16 tiles cut from one stomach biopsy slide; scanned at ×20; H&E.
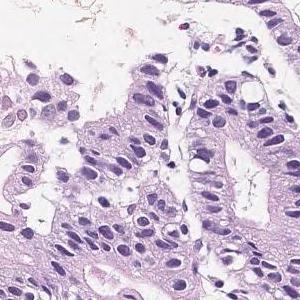
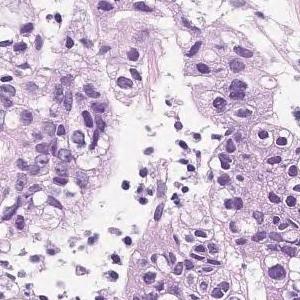
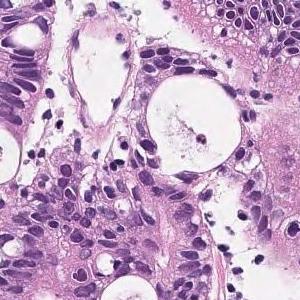
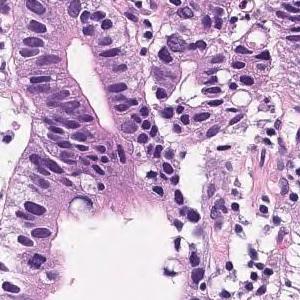
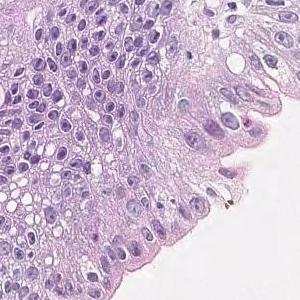
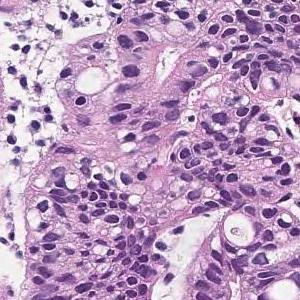
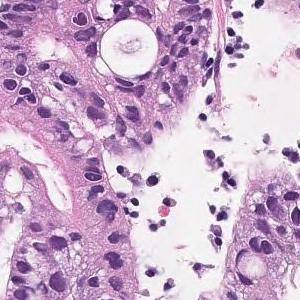
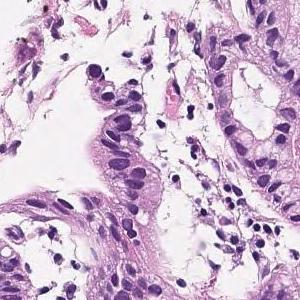
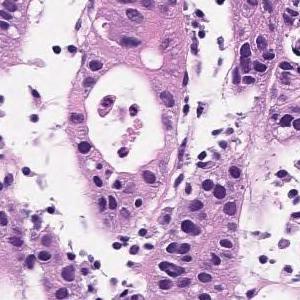
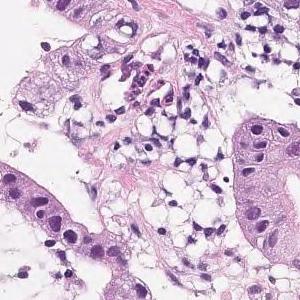
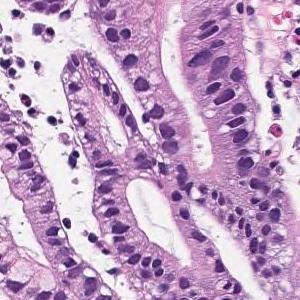
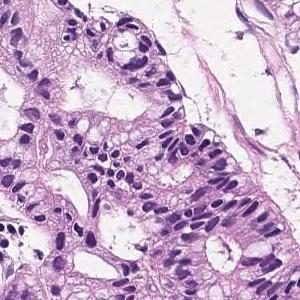
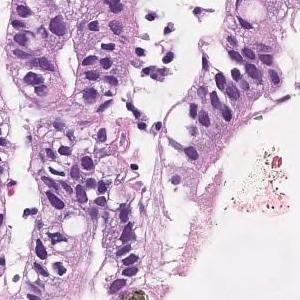
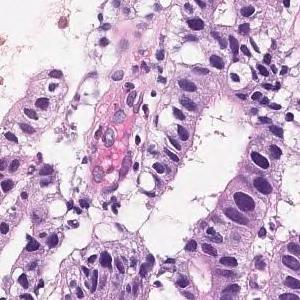
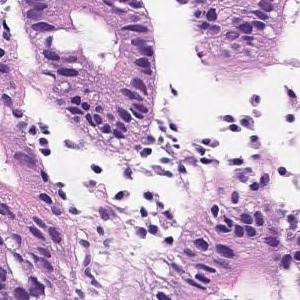
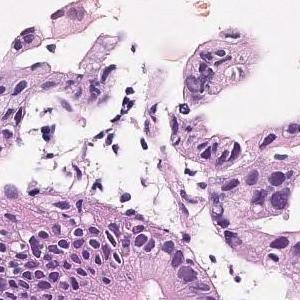
Pathology report for the slide these tiles were cut from. The findings and the diagnosis refer to the entire slide; these tiles show only part of it, possibly with non-tumor tissue, and may not show every feature named.
On the superficial epithelium, tumor tissue that infiltrates by forming medium-sized papillary or small irregular ducts is observed. Papillary adenocarcinoma
